8 image tiles from a single gastric biopsy slide; 20× magnification.
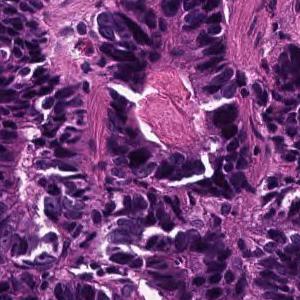
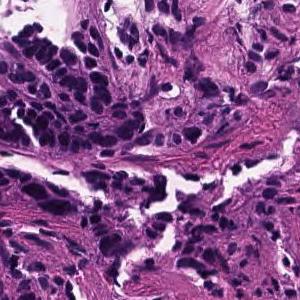
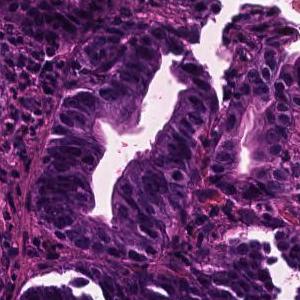
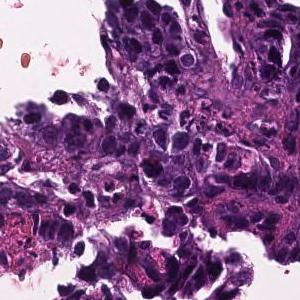
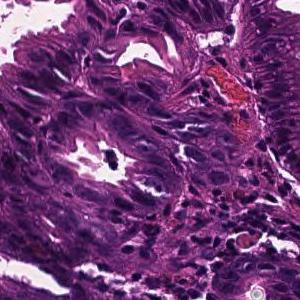
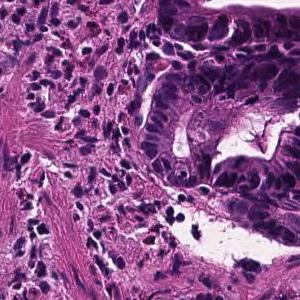
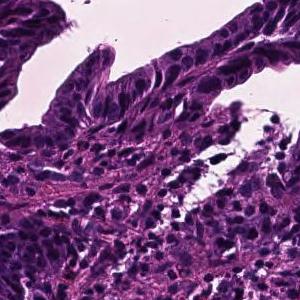
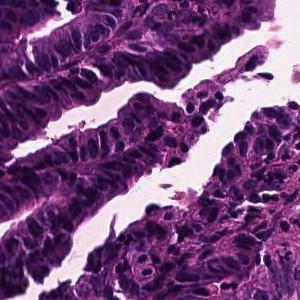
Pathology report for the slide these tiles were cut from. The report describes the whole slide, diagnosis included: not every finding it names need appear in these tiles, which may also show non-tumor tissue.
In the superficial epithelium, tumor tissue that invades by forming medium-sized to small, irregular ducts is observed. moderately differentiated tubular adenocarcinoma.
